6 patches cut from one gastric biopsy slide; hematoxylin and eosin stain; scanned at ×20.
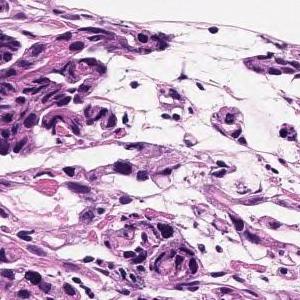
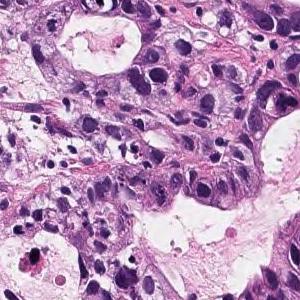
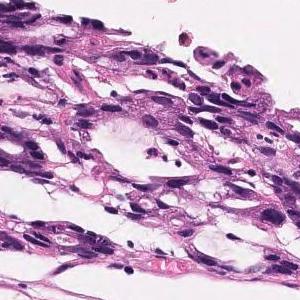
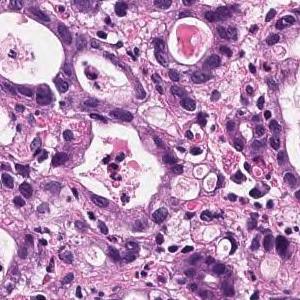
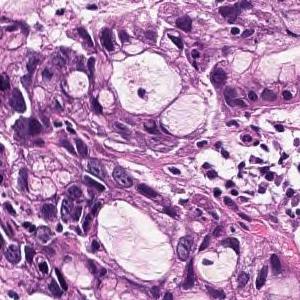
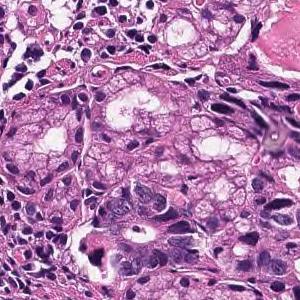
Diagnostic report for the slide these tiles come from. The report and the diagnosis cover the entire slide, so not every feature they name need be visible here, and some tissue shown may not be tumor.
In the superficial epithelium, tumor tissue that invades by forming medium-sized to small, irregular ducts is observed. Moderately differentiated adenocarcinoma.
Subtype: Moderately differentiated tubular adenocarcinoma.
